10 tiles cut from one stomach biopsy slide, 300 × 300 pixels each.
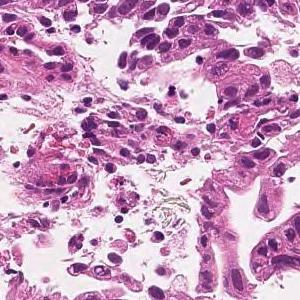
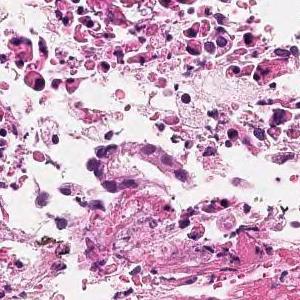
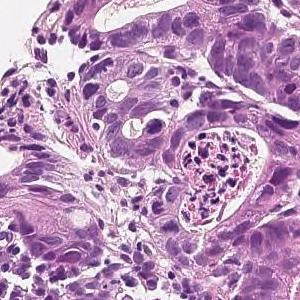
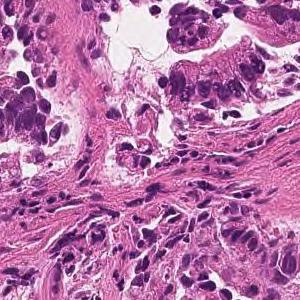
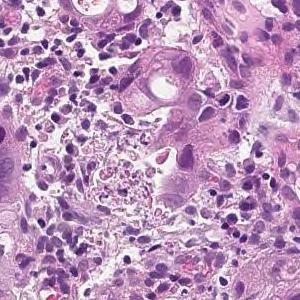
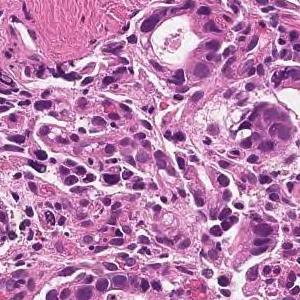
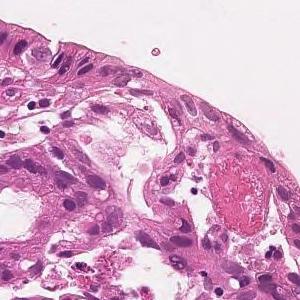
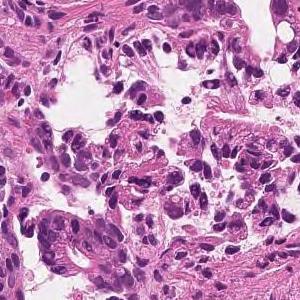
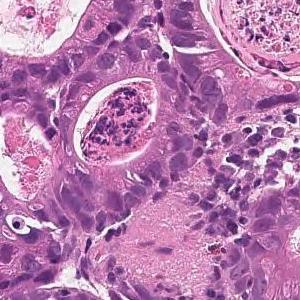
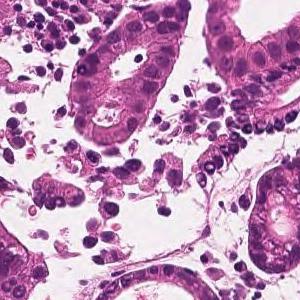
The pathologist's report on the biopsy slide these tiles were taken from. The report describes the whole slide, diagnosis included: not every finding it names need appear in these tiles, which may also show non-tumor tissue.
On the superficial epithelium, tumor tissue is found in which medium-sized irregular gland ducts fuse with each other and infiltrate. moderately differentiated tubular adenocarcinoma
